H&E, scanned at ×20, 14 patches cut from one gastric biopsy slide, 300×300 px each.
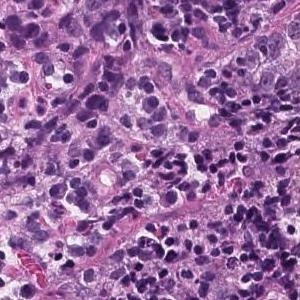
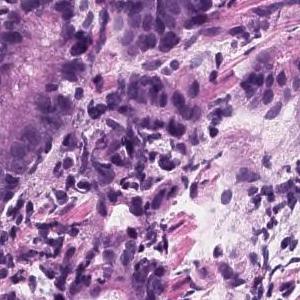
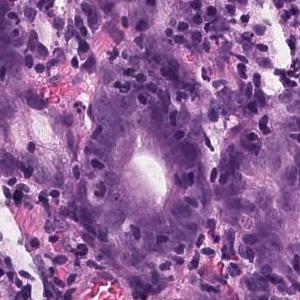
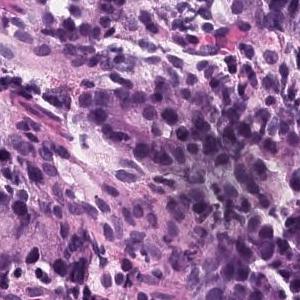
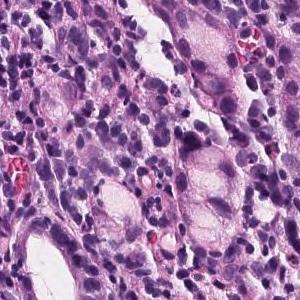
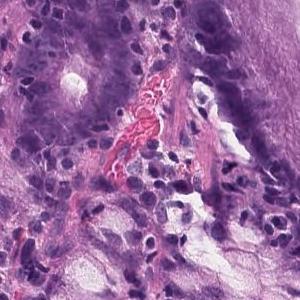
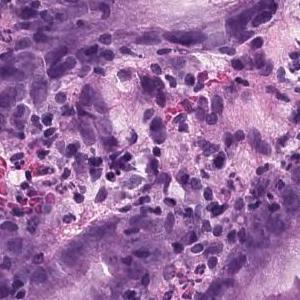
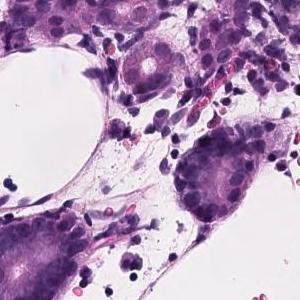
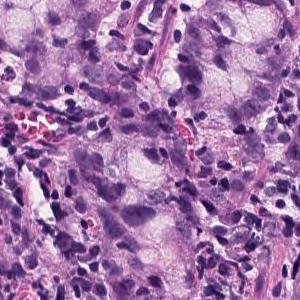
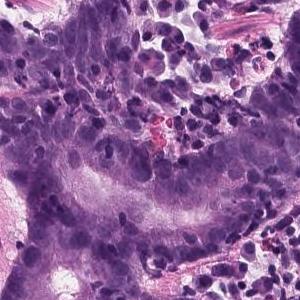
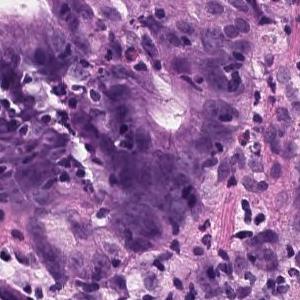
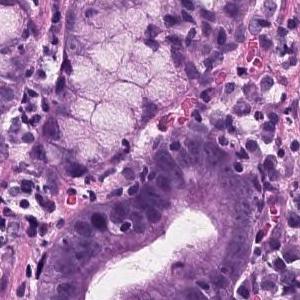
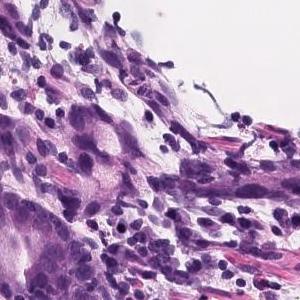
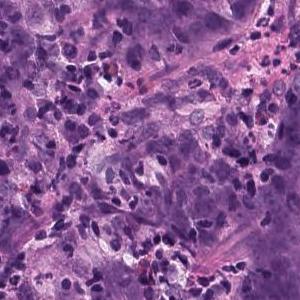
Diagnostic report for the slide these tiles come from. The findings and the diagnosis refer to the entire slide; these tiles show only part of it, possibly with non-tumor tissue, and may not show every feature named.
In the superficial epithelium, tumor tissue that invades by forming medium-sized to small, irregular ducts is observed. Moderately differentiated adenocarcinoma.
Histological subtype: Moderately differentiated tubular adenocarcinoma.
